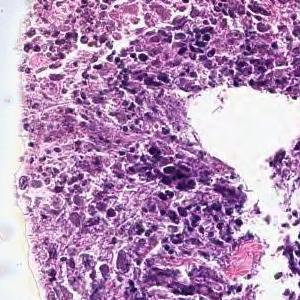
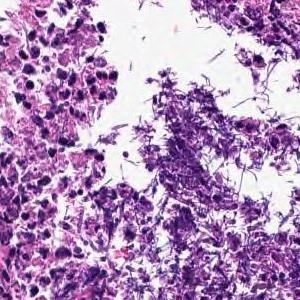
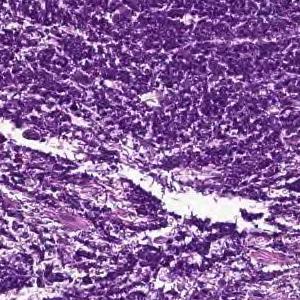
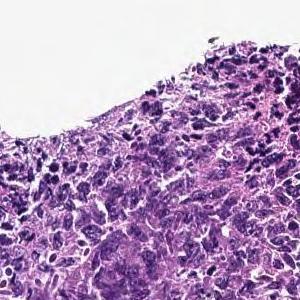
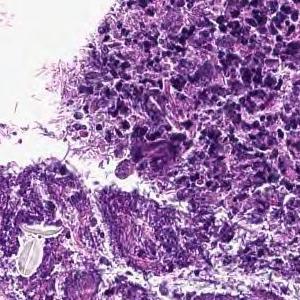
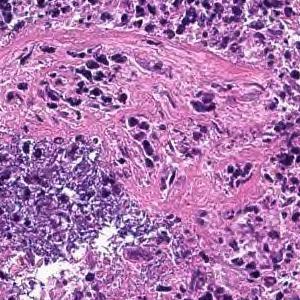
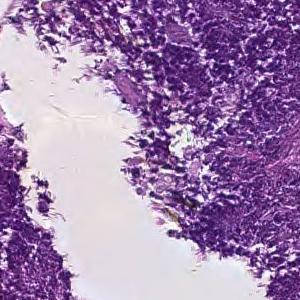
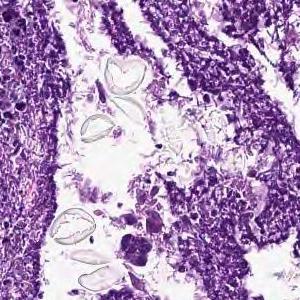
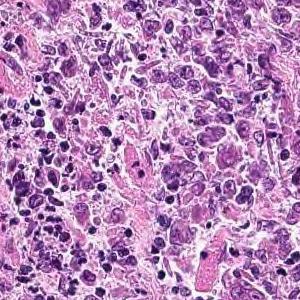
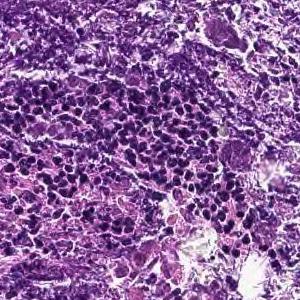
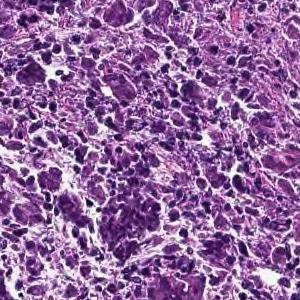
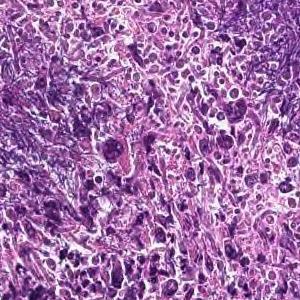
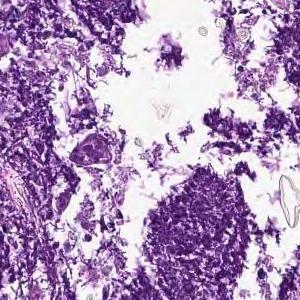
13 tiles cut from one stomach biopsy slide; each 300 × 300 pixels; H&E; ×20.
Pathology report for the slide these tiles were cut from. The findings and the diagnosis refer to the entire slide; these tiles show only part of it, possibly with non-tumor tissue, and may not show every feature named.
Cancers with polygonal nuclei do not show glandular formation and are densely, in part, cord-like and proliferate. Poorly differentiated adenocarcinoma
Histologic type: Poorly differentiated adenocarcinoma, non-solid type.
The non-solid type named here is a Japanese Classification of Gastric Carcinoma category.
